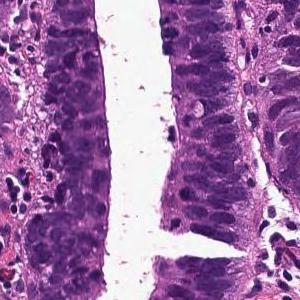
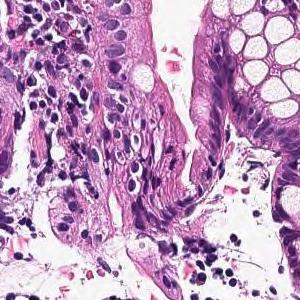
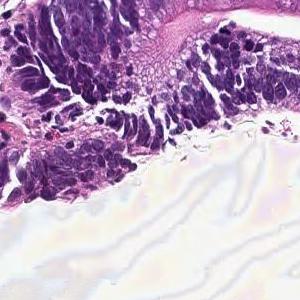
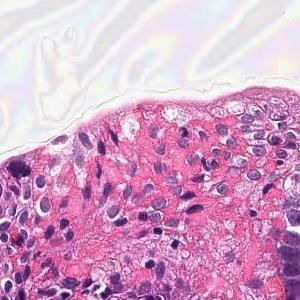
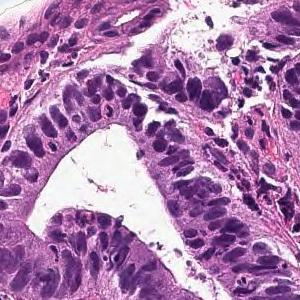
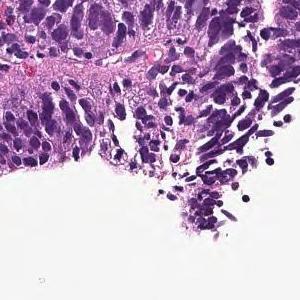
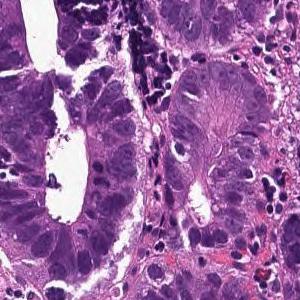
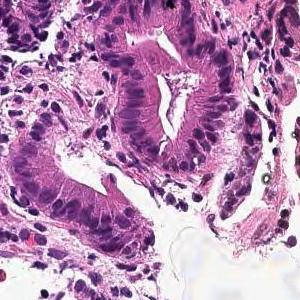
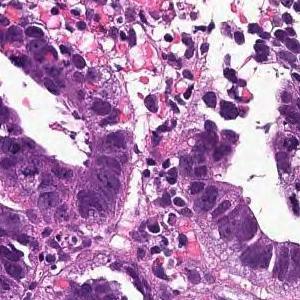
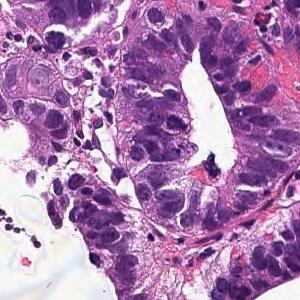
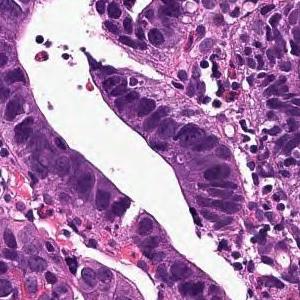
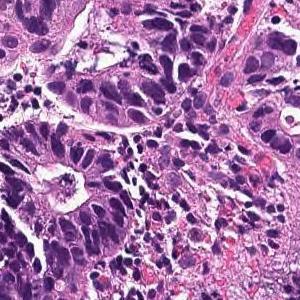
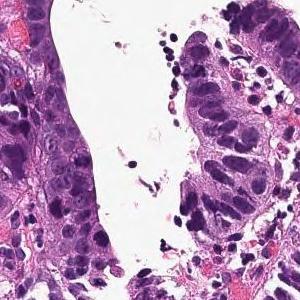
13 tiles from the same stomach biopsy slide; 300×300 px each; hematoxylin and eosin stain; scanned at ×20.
The pathologist's report on the biopsy slide these tiles were taken from. The report and the diagnosis describe the slide as a whole, so these tiles may not show every feature named and may include non-tumor tissue.
Tumor cells are large, highly columnar, large club-shaped nuclei, and are associated with chromatin aggregation. Papillary adenocarcinoma.
